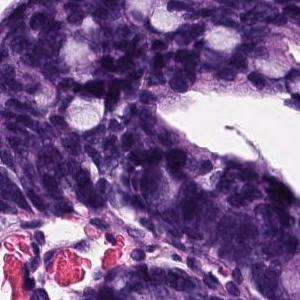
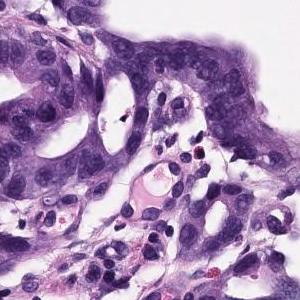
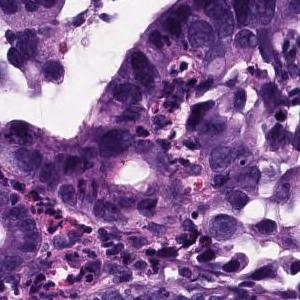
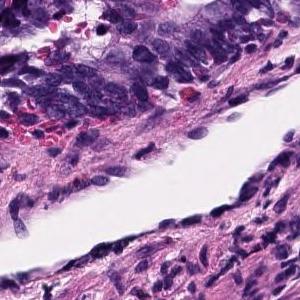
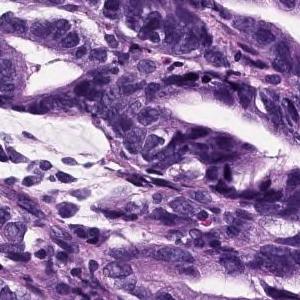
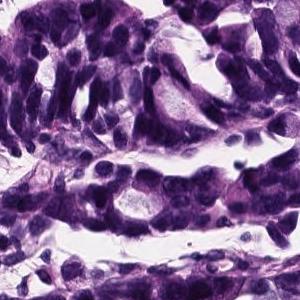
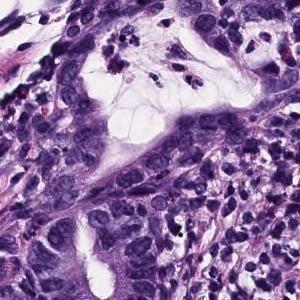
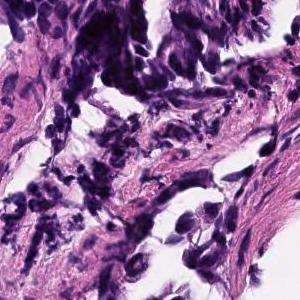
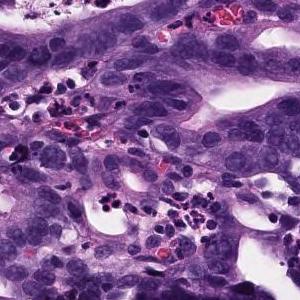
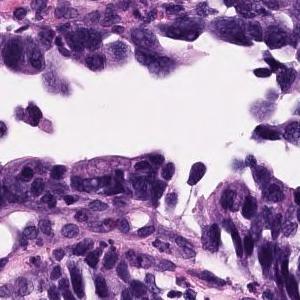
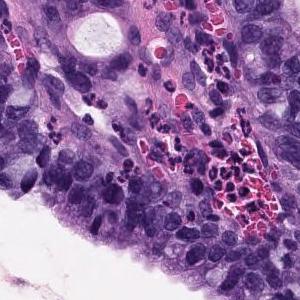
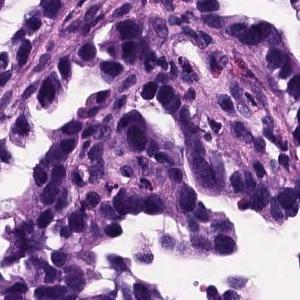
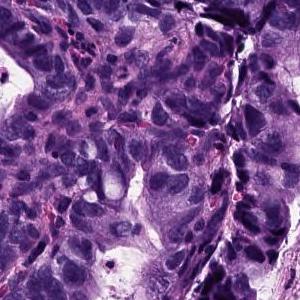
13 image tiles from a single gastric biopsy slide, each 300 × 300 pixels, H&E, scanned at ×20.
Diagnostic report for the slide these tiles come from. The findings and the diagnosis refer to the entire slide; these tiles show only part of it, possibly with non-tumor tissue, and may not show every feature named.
Atypical epithelium proliferating showing villus construction and irregular gland duct construction is observed. Moderately differentiated tubular adenocarcinoma.
